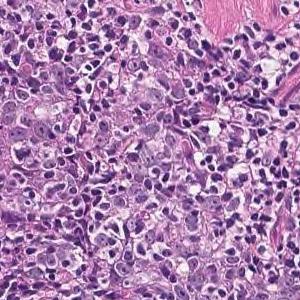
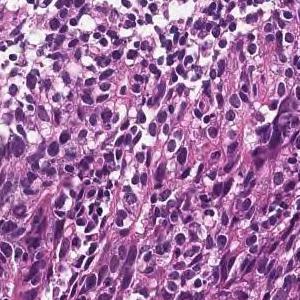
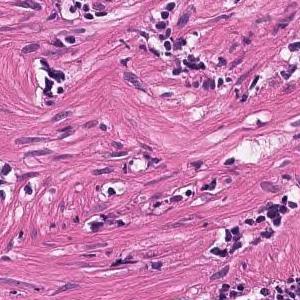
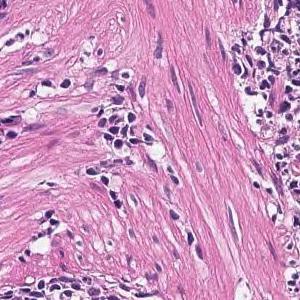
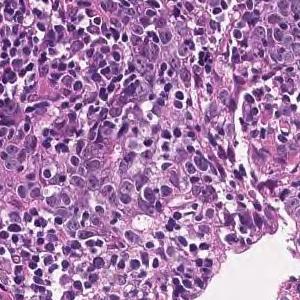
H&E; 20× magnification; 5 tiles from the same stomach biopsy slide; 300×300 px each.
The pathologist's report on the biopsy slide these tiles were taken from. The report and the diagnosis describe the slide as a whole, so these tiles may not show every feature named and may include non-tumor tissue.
Tumor tissue consisting of cord-like or small, irregular glandular ducts fused and infiltrated is observed in the superficial epithelium. Poorly differentiated adenocarcinoma, non-solid type
"Non-solid type" is a category of the Japanese Classification of Gastric Carcinoma.
